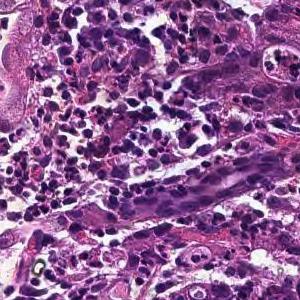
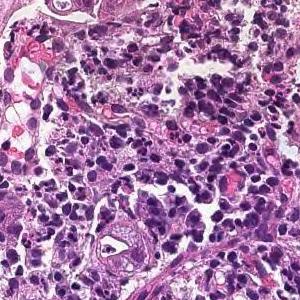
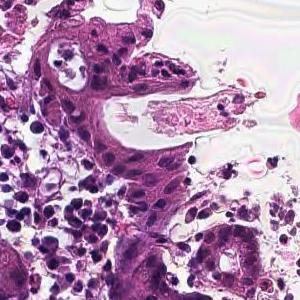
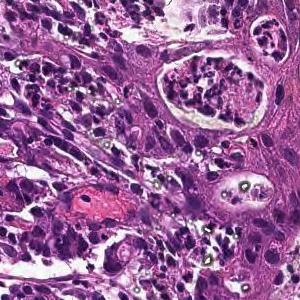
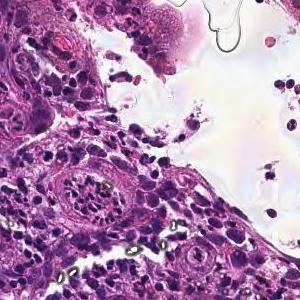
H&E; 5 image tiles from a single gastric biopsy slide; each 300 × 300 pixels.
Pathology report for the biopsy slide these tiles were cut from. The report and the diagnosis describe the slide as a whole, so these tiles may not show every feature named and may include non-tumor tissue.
In the superficial epithelium, tumor tissue that invades by forming medium-sized to small, irregular ducts is observed. moderately differentiated tubular adenocarcinoma.
